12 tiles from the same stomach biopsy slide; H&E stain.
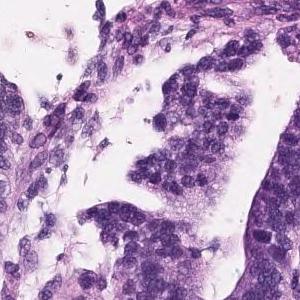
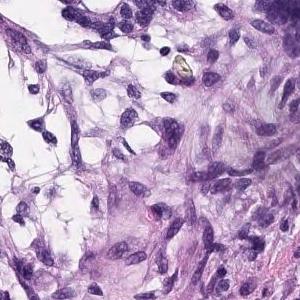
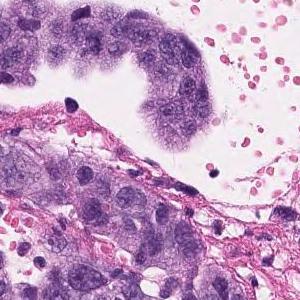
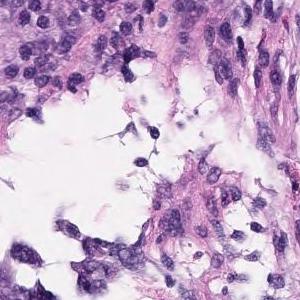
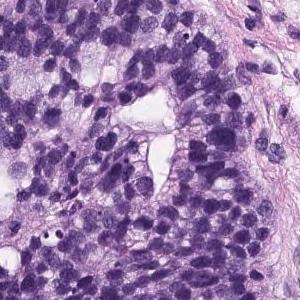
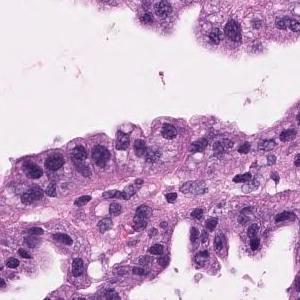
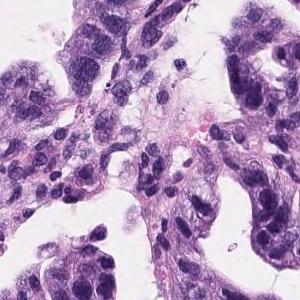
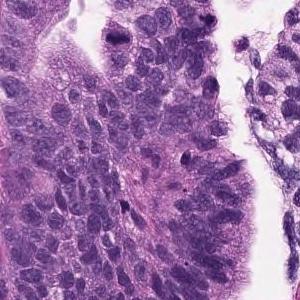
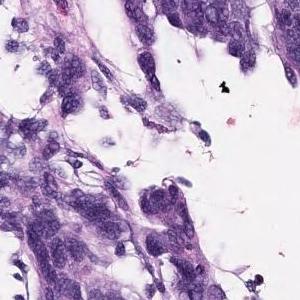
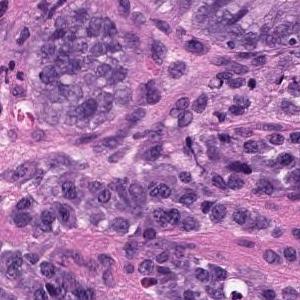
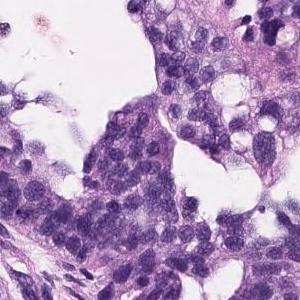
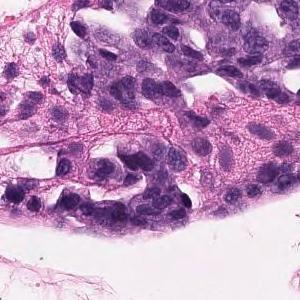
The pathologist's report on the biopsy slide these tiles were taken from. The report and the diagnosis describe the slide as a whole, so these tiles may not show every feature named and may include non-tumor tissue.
Tumor cells are large, highly columnar, large club-shaped nuclei, and are associated with chromatin aggregation. Papillary adenocarcinoma.
